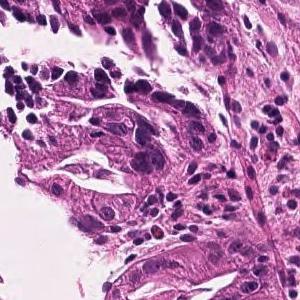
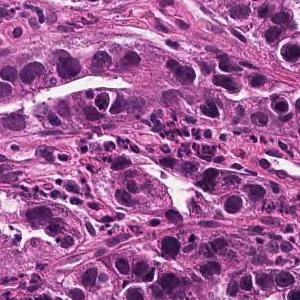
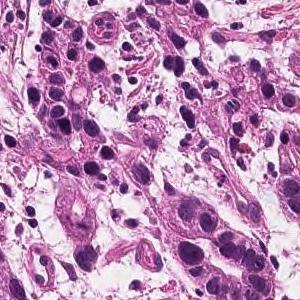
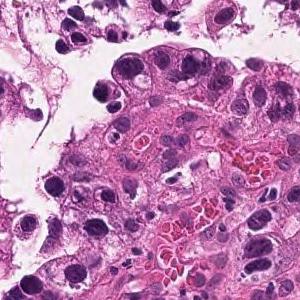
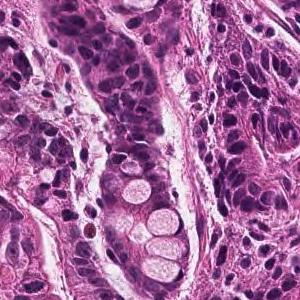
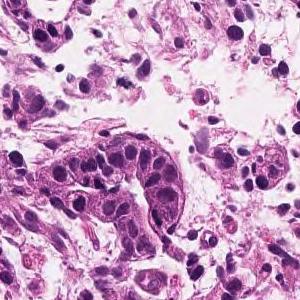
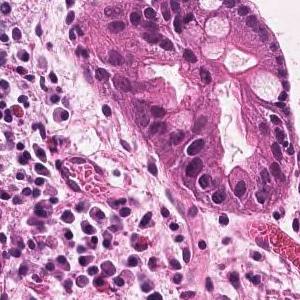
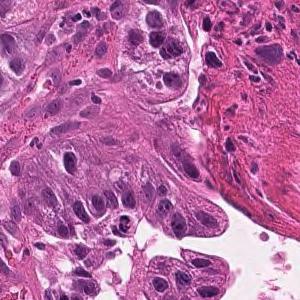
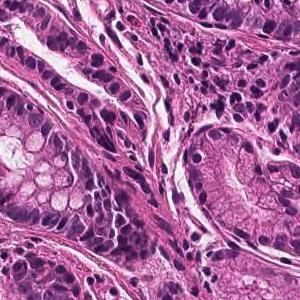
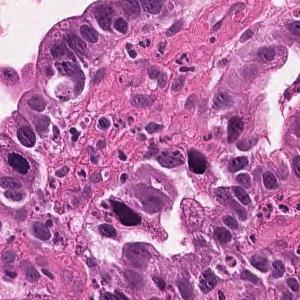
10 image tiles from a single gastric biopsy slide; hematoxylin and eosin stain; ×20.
The pathologist's report on the biopsy slide these tiles were taken from. The report describes the whole slide, diagnosis included: not every finding it names need appear in these tiles, which may also show non-tumor tissue.
Tumor tissue consisting of medium-sized, cord-like or irregular glandular infiltration is observed in the superficial epithelium. Poorly differentiated adenocarcinoma, non-solid type or moderately differentiated tubular adenocarcinoma
Classified as moderately to poorly differentiated adenocarcinoma.
The non-solid type named here is a Japanese Classification of Gastric Carcinoma category.
